12 tiles from the same stomach biopsy slide, H&E stain, 20× magnification.
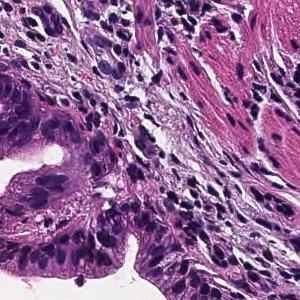
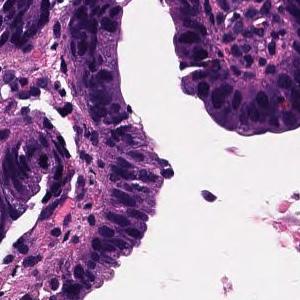
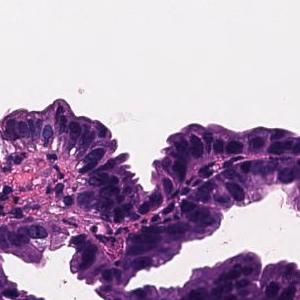
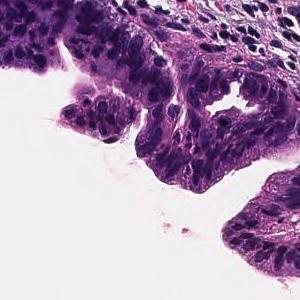
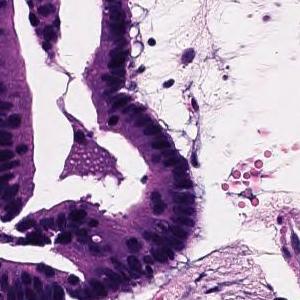
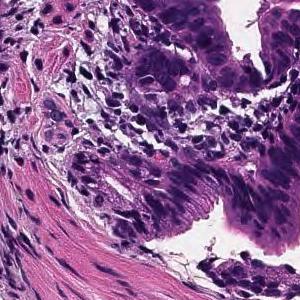
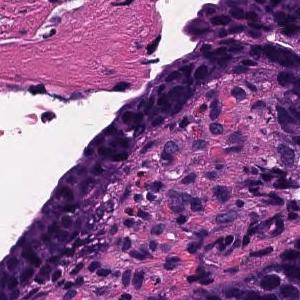
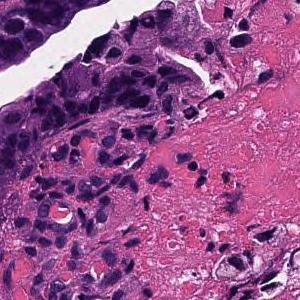
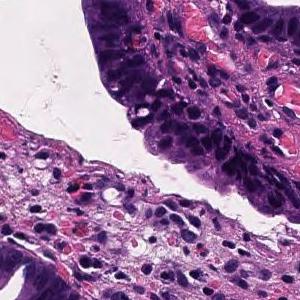
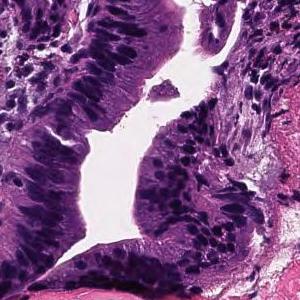
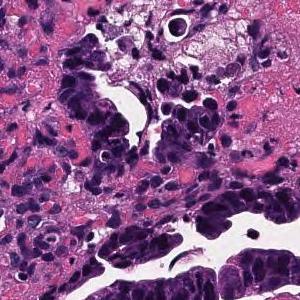
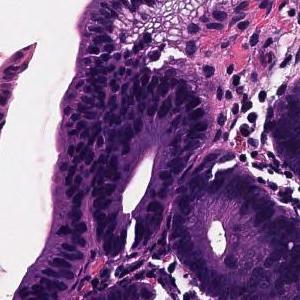
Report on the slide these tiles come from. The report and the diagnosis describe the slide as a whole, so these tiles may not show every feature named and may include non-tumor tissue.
Tumor cells are large, highly columnar, large club-shaped nuclei, and are associated with chromatin aggregation. Papillary adenocarcinoma.
